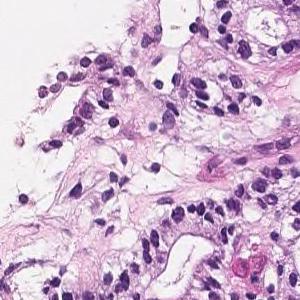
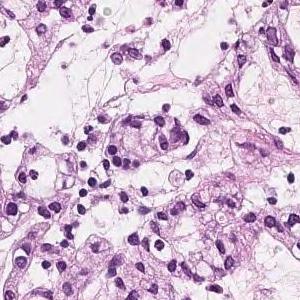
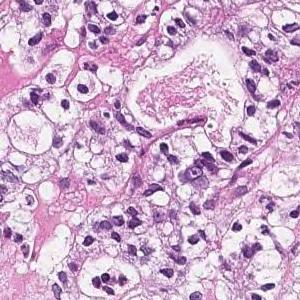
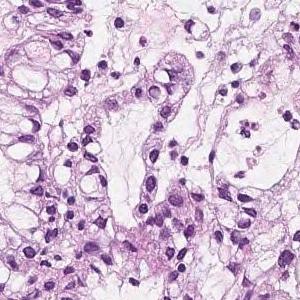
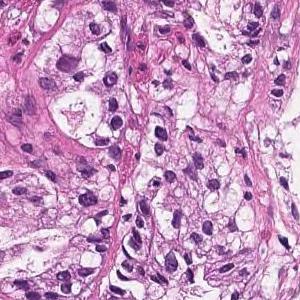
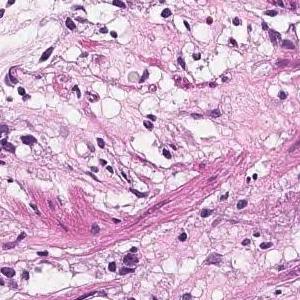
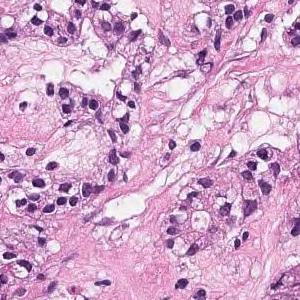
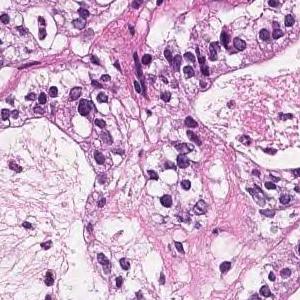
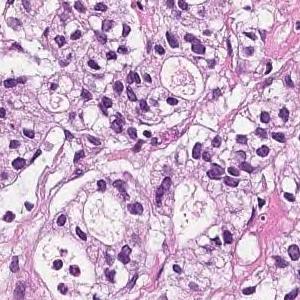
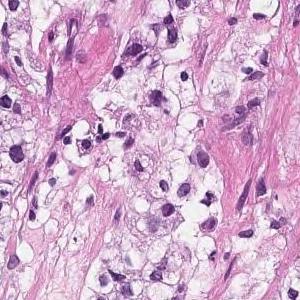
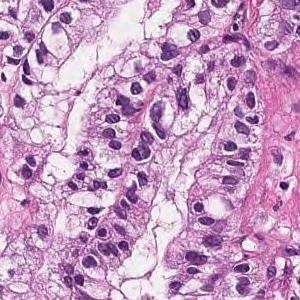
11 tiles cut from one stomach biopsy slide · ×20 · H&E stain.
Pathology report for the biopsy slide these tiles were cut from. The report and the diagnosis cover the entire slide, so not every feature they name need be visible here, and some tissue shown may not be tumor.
In the superficial epithelium, tumor tissue that invades by forming medium-sized to small, irregular ducts is observed. moderately differentiated tubular adenocarcinoma.
